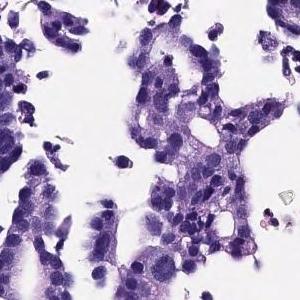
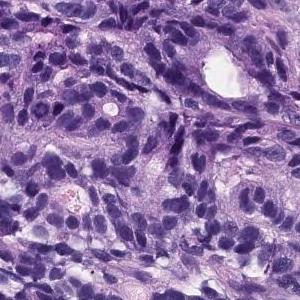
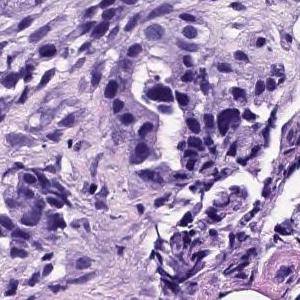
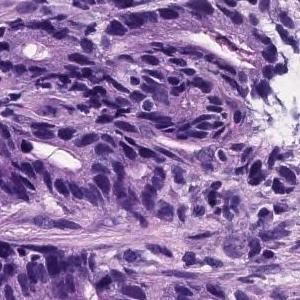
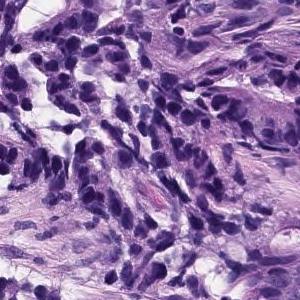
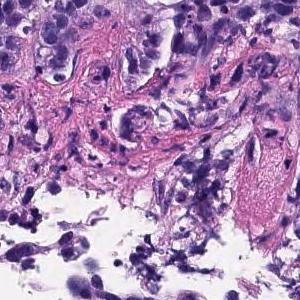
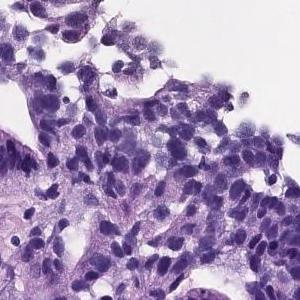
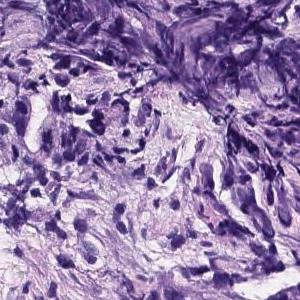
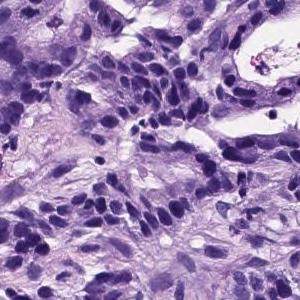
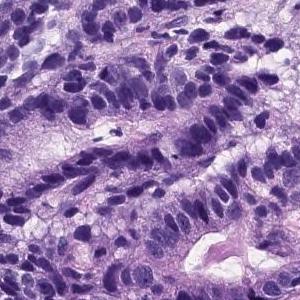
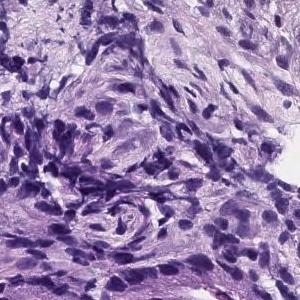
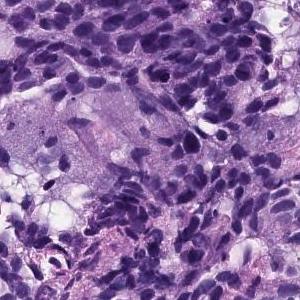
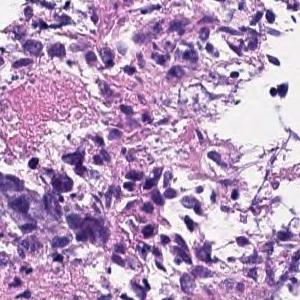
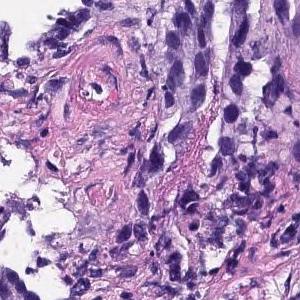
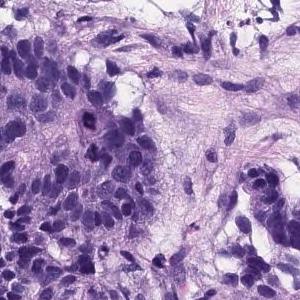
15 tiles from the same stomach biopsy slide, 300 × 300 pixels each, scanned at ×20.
Pathology report for the slide these tiles were cut from. What the report and the diagnosis say applies to the whole slide; these tiles may miss some of the features named and may include tissue that is not tumor.
In the superficial epithelium, tumor tissue that invades by forming medium-sized to small, irregular ducts is observed. Tumor cells are columnar or cuboidal in shape. Moderately differentiated adenocarcinoma.
Classified as moderately differentiated tubular adenocarcinoma.
